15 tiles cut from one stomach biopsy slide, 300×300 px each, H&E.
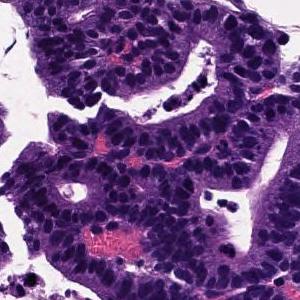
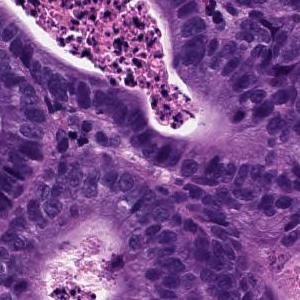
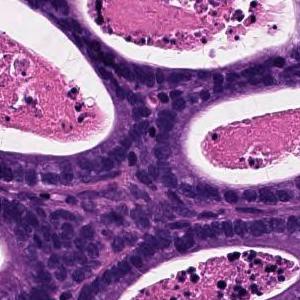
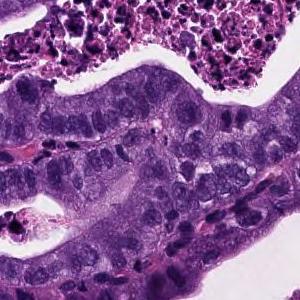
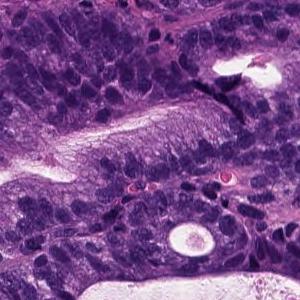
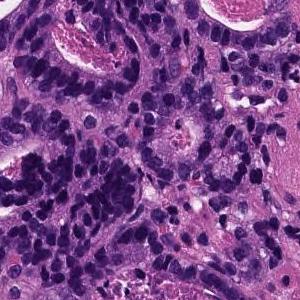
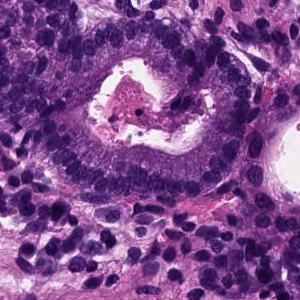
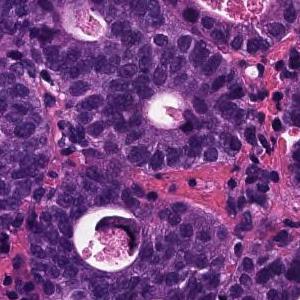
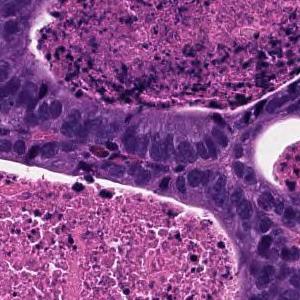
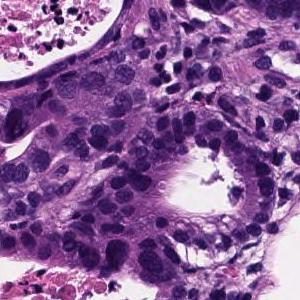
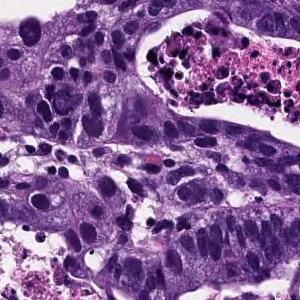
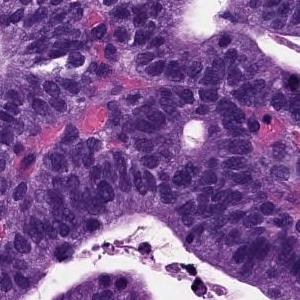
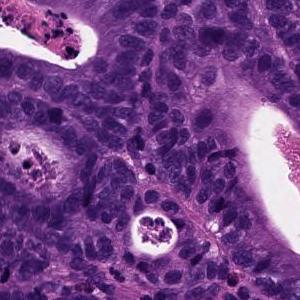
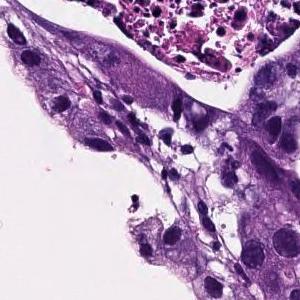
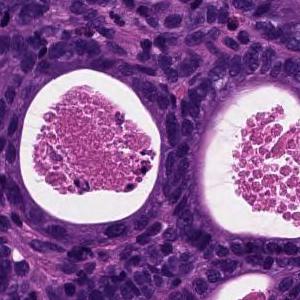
Pathology report for the slide these tiles were cut from. Both the report and the diagnosis are for the whole slide: these tiles need not show every feature named, and some of the tissue shown may not be tumor.
From the superficial epithelium to the muscularis mucosae, tumor tissue consisting of medium-sized and irregular glandular ducts infiltrating is observed. Well differentiated tubular adenocarcinoma
